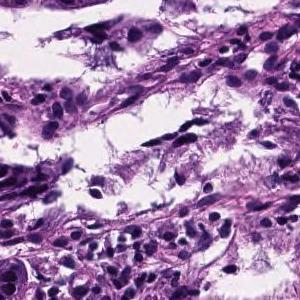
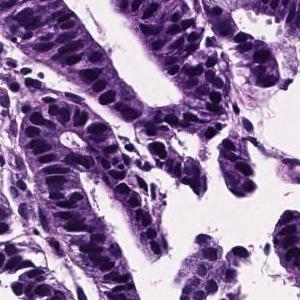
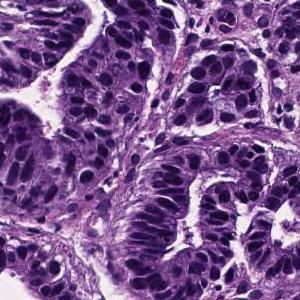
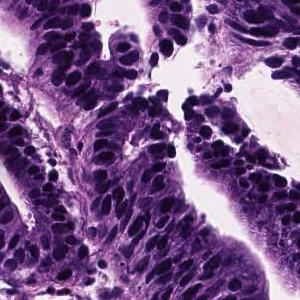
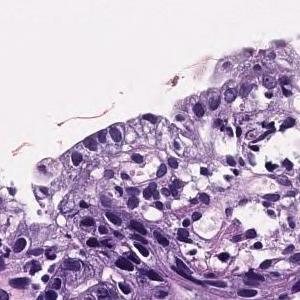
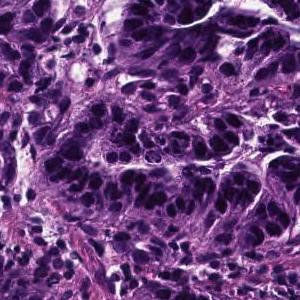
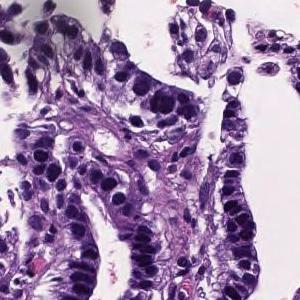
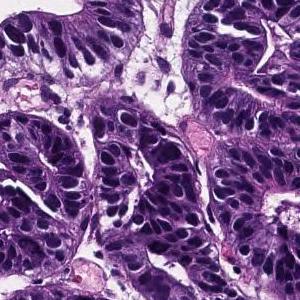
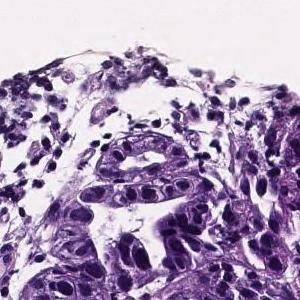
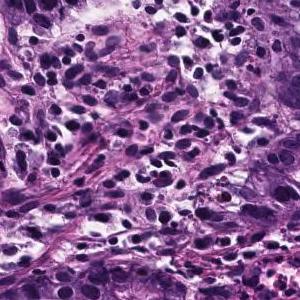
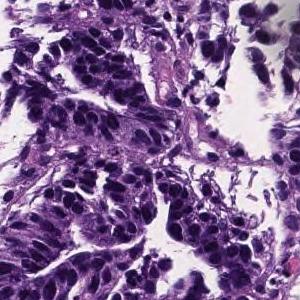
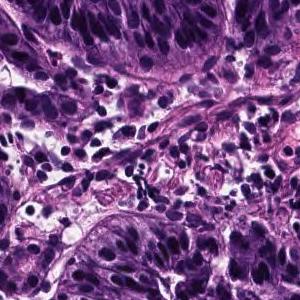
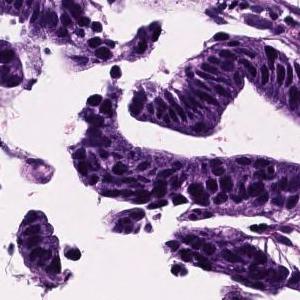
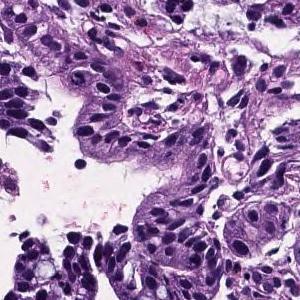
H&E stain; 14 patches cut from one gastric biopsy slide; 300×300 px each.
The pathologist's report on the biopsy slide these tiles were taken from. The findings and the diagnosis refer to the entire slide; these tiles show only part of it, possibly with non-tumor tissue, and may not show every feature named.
On the superficial epithelium, tumor tissue consisting of medium-sized to large-sized, round or irregular glandular duct growth images is observed. Well differentiated tubular adenocarcinoma
